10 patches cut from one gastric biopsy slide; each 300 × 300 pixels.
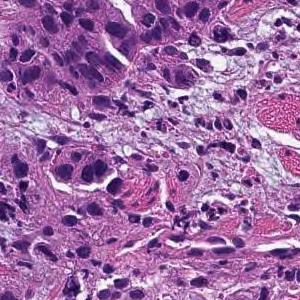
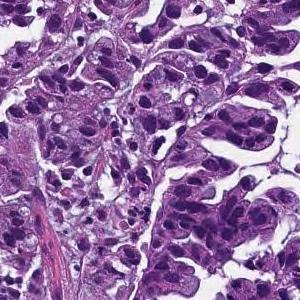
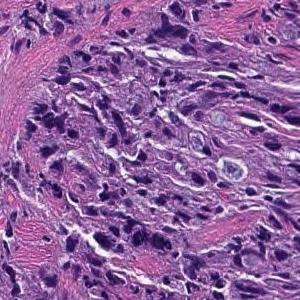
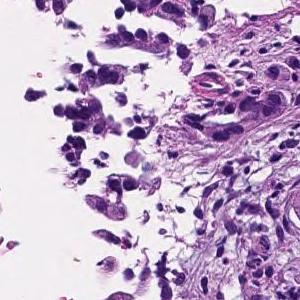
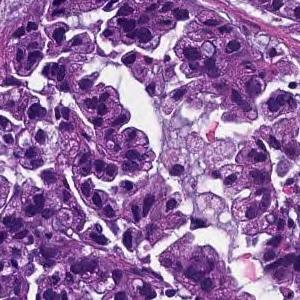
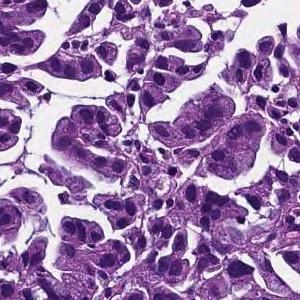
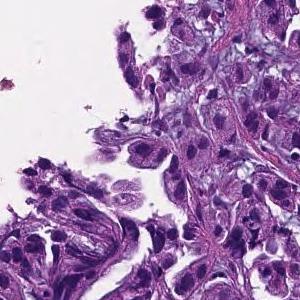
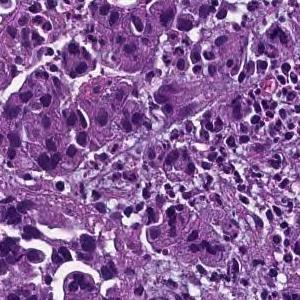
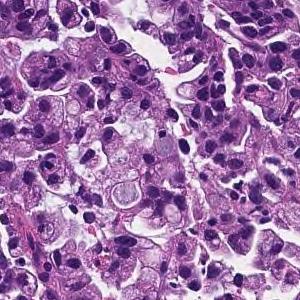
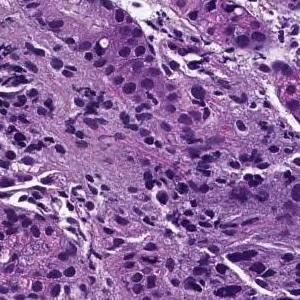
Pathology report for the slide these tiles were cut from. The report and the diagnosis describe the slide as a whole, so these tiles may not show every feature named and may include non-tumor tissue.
Tumor tissue consisting of medium-sized, cord-like or irregular glandular infiltration is observed in the superficial epithelium. Poorly differentiated adenocarcinoma, non-solid type or moderately differentiated tubular adenocarcinoma
Histological subtype: Moderately to poorly differentiated adenocarcinoma.
"Non-solid type" is a category of the Japanese Classification of Gastric Carcinoma.
